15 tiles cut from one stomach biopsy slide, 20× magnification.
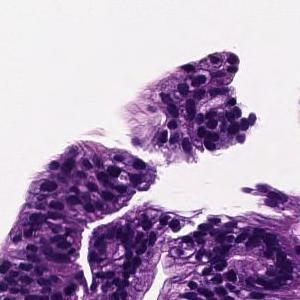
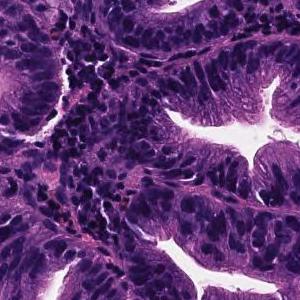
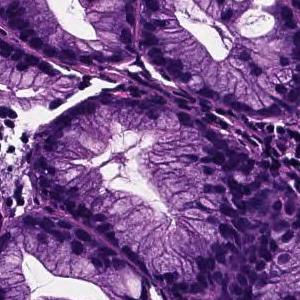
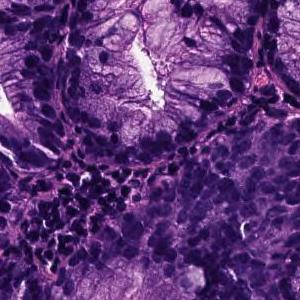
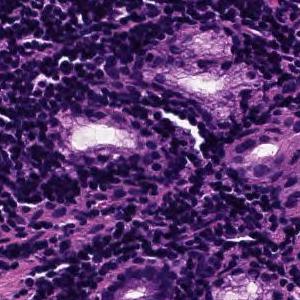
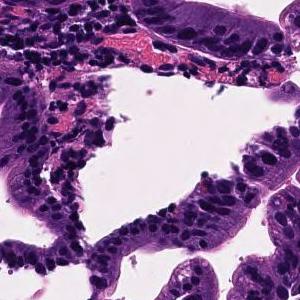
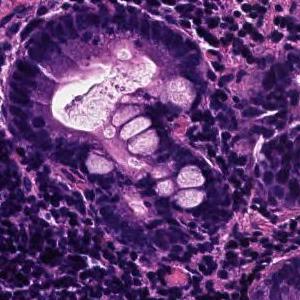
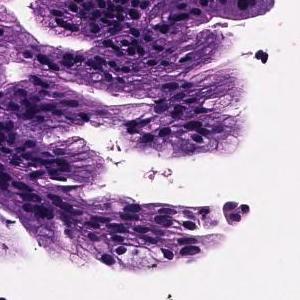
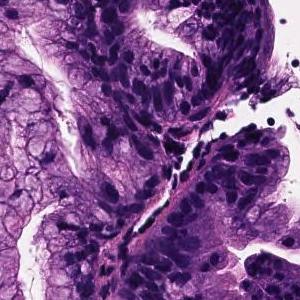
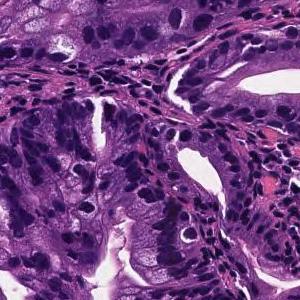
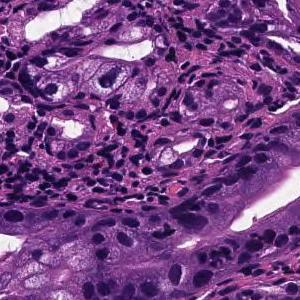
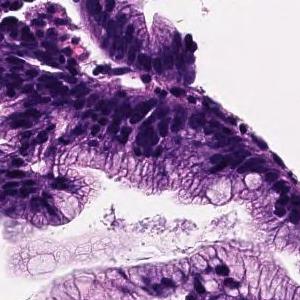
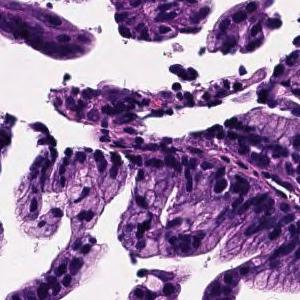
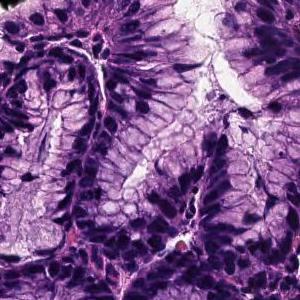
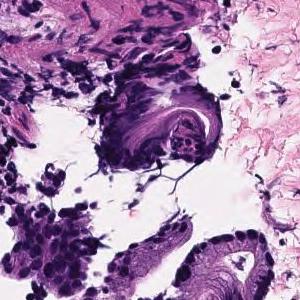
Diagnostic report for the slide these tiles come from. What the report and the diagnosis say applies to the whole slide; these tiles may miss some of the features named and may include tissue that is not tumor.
On the superficial epithelium, tumor tissue that infiltrates by forming medium-sized papillary or small irregular ducts is observed. Papillary adenocarcinoma
